H&E stain · 20× magnification · 14 patches cut from one gastric biopsy slide.
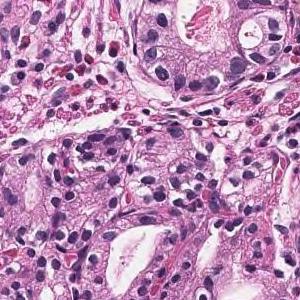
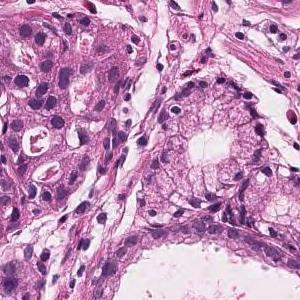
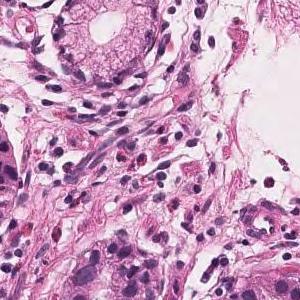
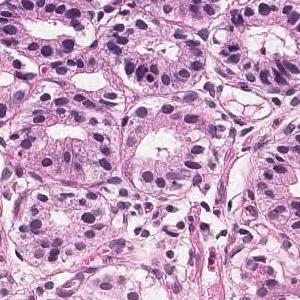
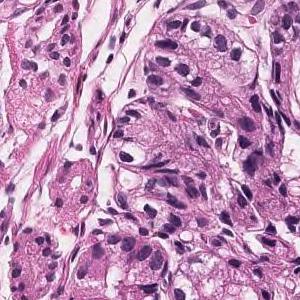
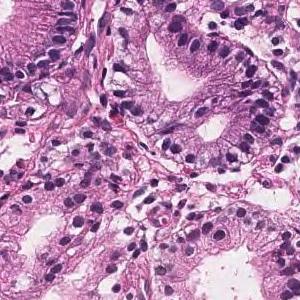
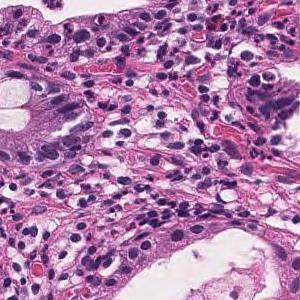
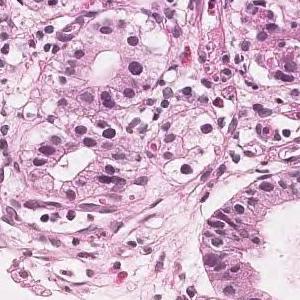
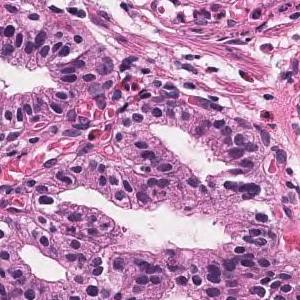
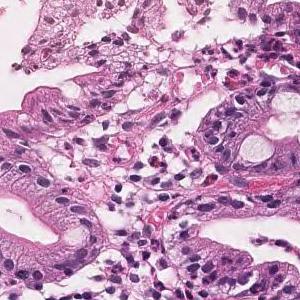
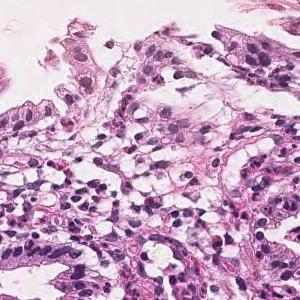
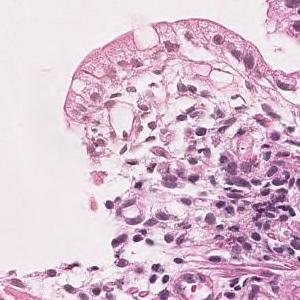
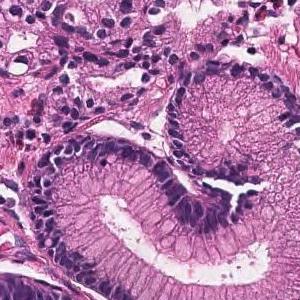
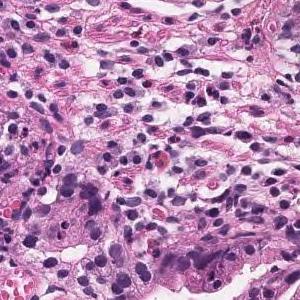
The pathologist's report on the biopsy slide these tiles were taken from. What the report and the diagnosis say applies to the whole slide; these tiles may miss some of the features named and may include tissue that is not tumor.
On the superficial epithelium, tumor tissue consisting of large, irregular glandular ducts partially fused and infiltrated is observed. Well differentiated tubular adenocarcinoma
